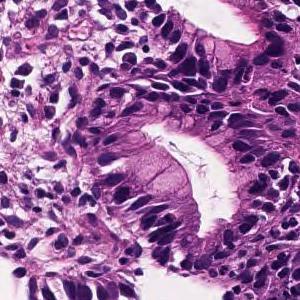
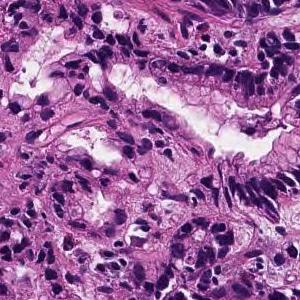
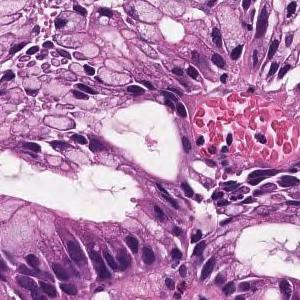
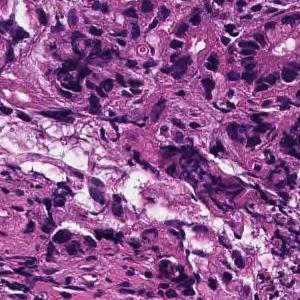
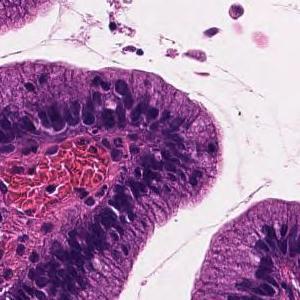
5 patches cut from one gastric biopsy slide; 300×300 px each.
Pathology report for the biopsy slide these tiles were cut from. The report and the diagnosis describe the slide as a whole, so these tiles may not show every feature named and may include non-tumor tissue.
On the superficial epithelium, tumor tissue consisting of medium-sized and irregular glandular ducts partially fused and infiltrated is observed. Well to moderately differentiated tubular adenocarcinoma (well differentiated tubular adenocarcinoma-moderately differentiated tubular adenocarcinoma)
Subtype: Well to moderately differentiated tubular adenocarcinoma.
